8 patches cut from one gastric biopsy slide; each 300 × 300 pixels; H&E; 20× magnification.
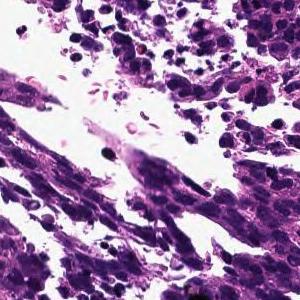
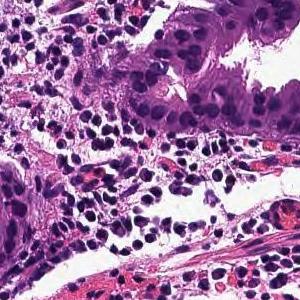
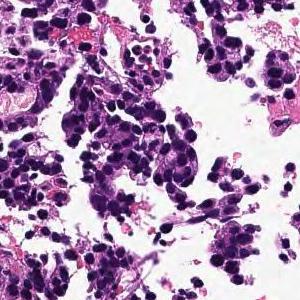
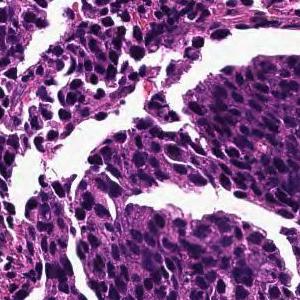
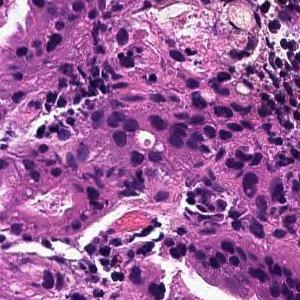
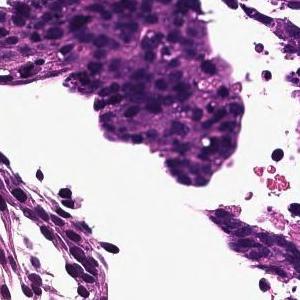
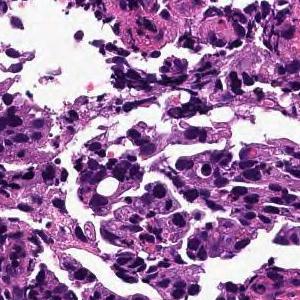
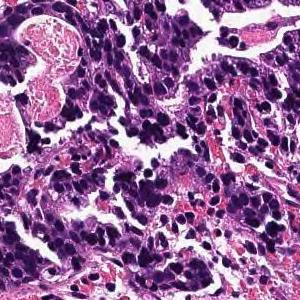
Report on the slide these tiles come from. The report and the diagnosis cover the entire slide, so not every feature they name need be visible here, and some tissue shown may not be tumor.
In the superficial epithelium, tumor tissue that invades by forming medium-sized to small, irregular ducts is observed. moderately differentiated tubular adenocarcinoma.
